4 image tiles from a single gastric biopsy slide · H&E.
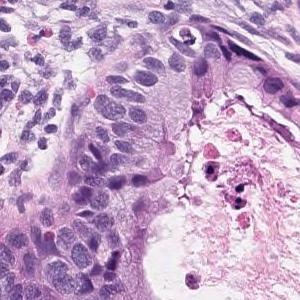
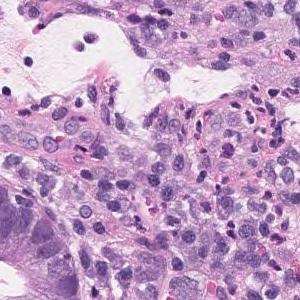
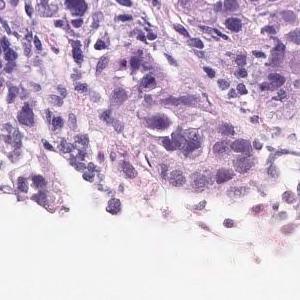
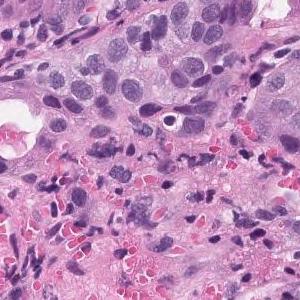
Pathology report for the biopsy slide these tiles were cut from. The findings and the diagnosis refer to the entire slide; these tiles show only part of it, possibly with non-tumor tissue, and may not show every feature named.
Tumor tissue consisting of medium-sized and irregular ducts is observed infiltrating in the superficial epithelium. Tumor cells are highly columnar, with nuclei aligned basolaterally and polarized. Well differentiated tubular adenocarcinoma.
